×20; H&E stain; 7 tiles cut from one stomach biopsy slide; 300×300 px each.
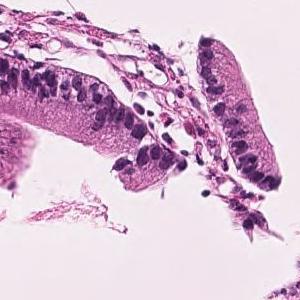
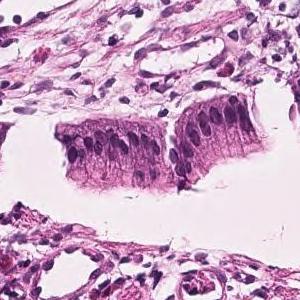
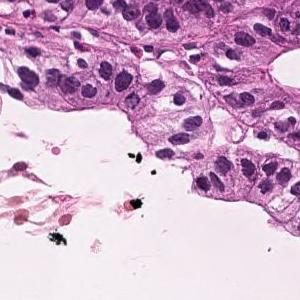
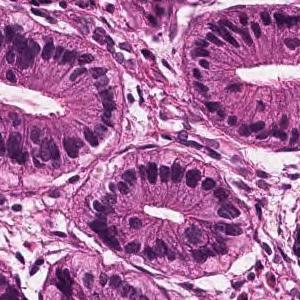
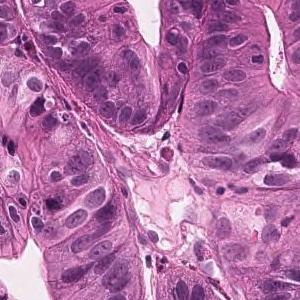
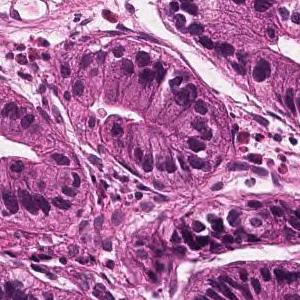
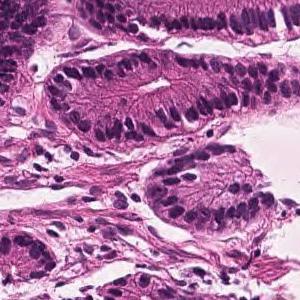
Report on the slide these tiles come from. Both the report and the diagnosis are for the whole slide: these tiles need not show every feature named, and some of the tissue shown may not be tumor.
Tumor tissue consisting of medium-sized and irregular ducts is observed infiltrating in the superficial epithelium. Tumor cells are highly columnar, with nuclei aligned basolaterally and polarized. Well differentiated tubular adenocarcinoma.
